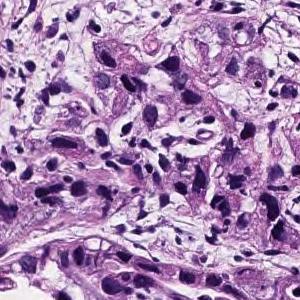
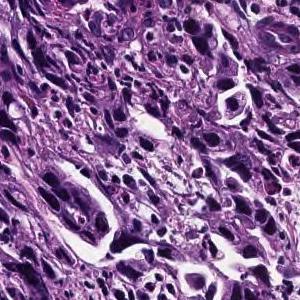
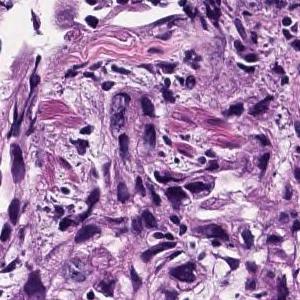
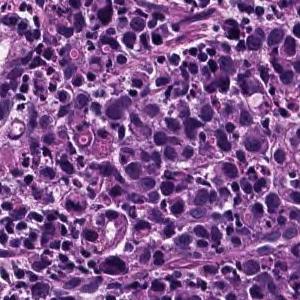
4 tiles cut from one stomach biopsy slide · 300×300 px each · H&E stain · ×20.
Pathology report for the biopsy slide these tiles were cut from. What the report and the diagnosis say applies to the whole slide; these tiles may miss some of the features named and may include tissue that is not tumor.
The superficial epithelium shows a large sheet-like shape, and some tumor tissue infiltrates with small irregular ducts. Poorly differentiated adenocarcinoma, solid-type
Tumor subtype: poorly differentiated adenocarcinoma, solid type. This name comes from the Japanese Classification of Gastric Carcinoma; the WHO 2019 classification calls it tubular adenocarcinoma, poorly differentiated.
